15 tiles cut from one stomach biopsy slide, ×20.
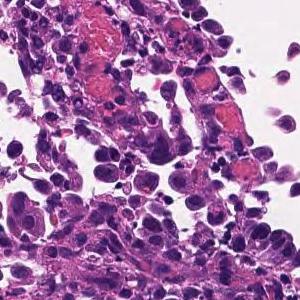
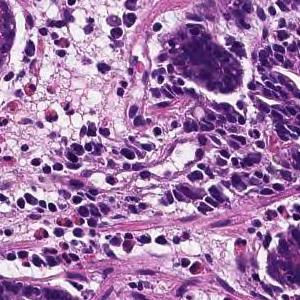
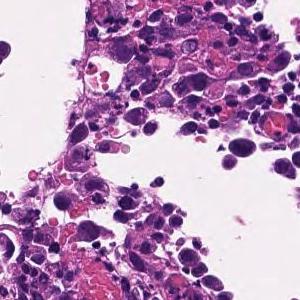
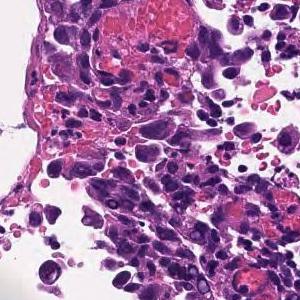
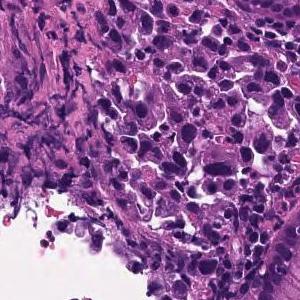
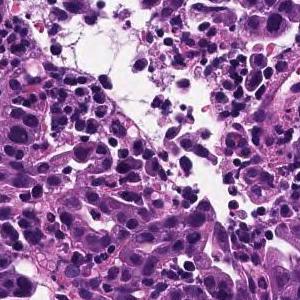
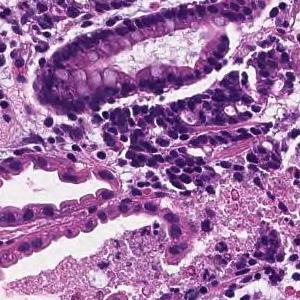
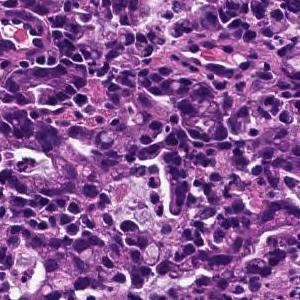
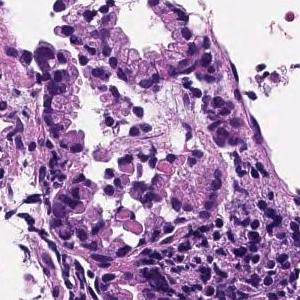
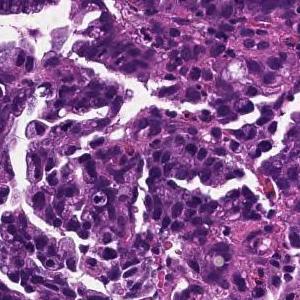
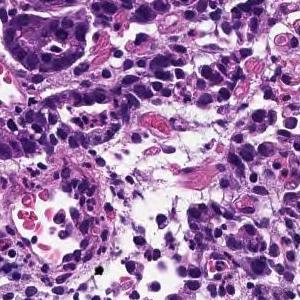
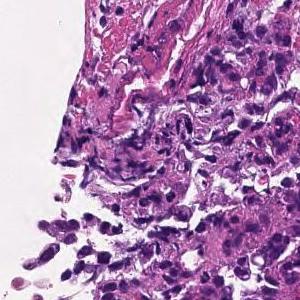
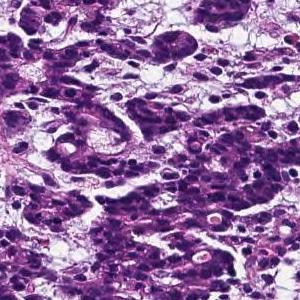
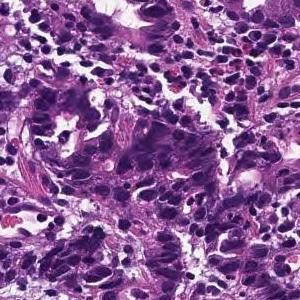
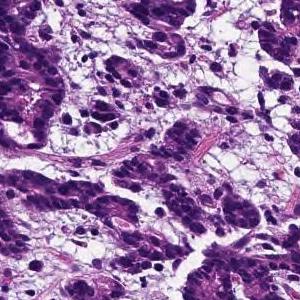
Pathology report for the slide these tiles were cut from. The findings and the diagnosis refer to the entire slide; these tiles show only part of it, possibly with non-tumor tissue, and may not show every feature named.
In the superficial epithelium, tumor tissue that invades by forming medium-sized to small, irregular ducts is observed. moderately differentiated tubular adenocarcinoma.
